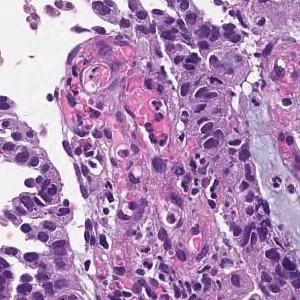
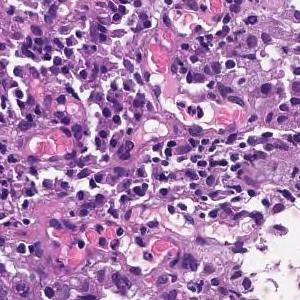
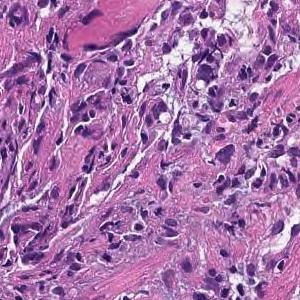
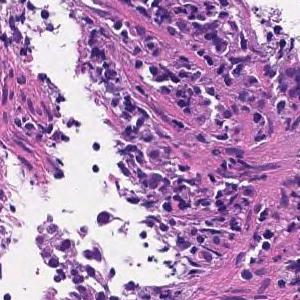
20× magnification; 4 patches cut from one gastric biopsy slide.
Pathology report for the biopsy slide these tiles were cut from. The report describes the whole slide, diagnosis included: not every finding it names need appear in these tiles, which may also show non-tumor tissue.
On the superficial epithelium, tumor tissue consisting of large, irregular glandular ducts partially fused and infiltrated is observed. Well to moderately differentiated tubular adenocarcinoma (well differentiated tubular adenocarcinoma, moderately differentiated tubular adenocarcinoma)
Classified as well to moderately differentiated tubular adenocarcinoma.
